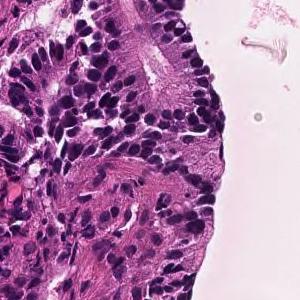
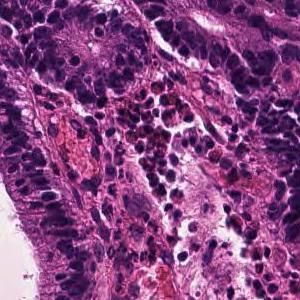
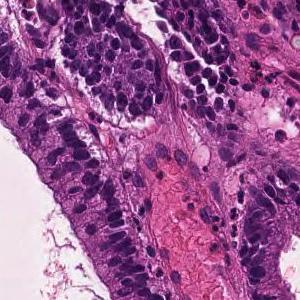
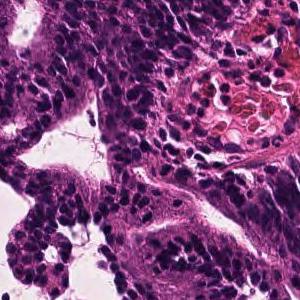
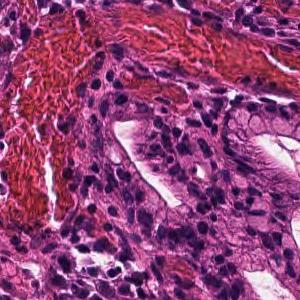
5 tiles cut from one stomach biopsy slide; each 300 × 300 pixels; hematoxylin and eosin stain; ×20.
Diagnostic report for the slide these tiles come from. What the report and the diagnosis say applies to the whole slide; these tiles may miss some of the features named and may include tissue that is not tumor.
In the superficial epithelium, tumor tissue that invades by forming medium-sized to small, irregular ducts is observed. moderately differentiated tubular adenocarcinoma.
